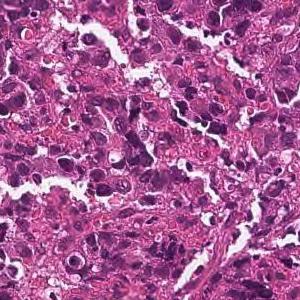
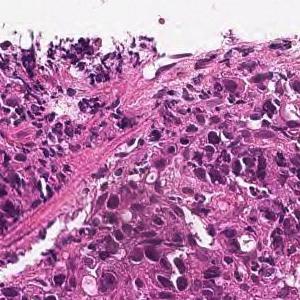
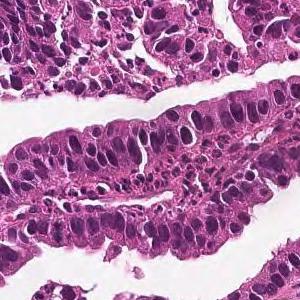
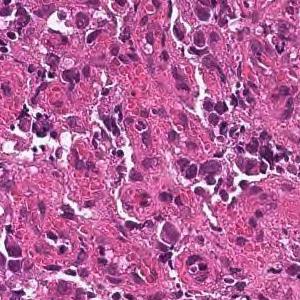
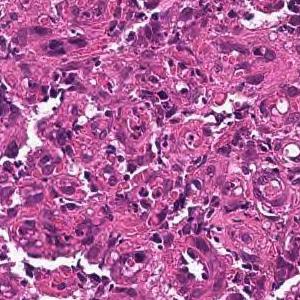
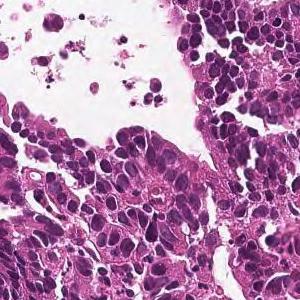
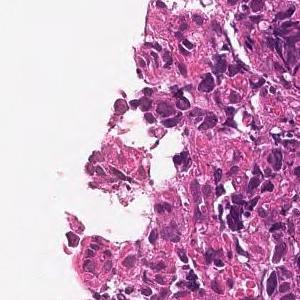
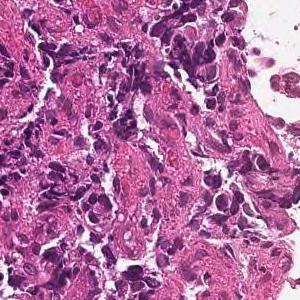
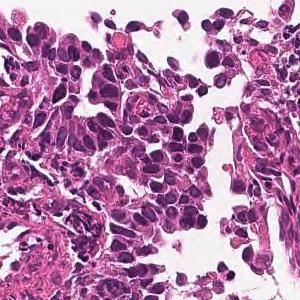
Scanned at ×20 · 9 patches cut from one gastric biopsy slide.
Diagnostic report for the slide these tiles come from. The report describes the whole slide, diagnosis included: not every finding it names need appear in these tiles, which may also show non-tumor tissue.
Tumor tissue consisting of medium-sized, cord-like or irregular glandular infiltration is observed in the superficial epithelium. Poorly differentiated adenocarcinoma, non-solid type or moderately differentiated tubular adenocarcinoma
Histologic type: Moderately to poorly differentiated adenocarcinoma.
The non-solid type named here is a Japanese Classification of Gastric Carcinoma category.
